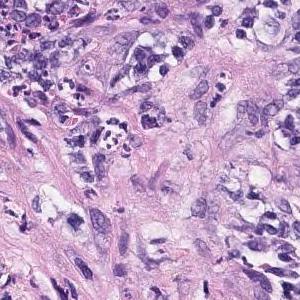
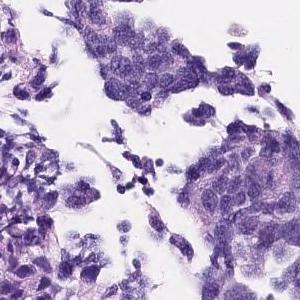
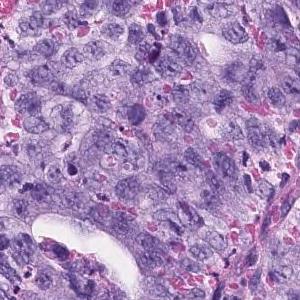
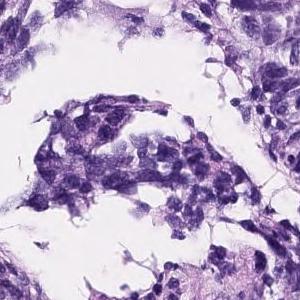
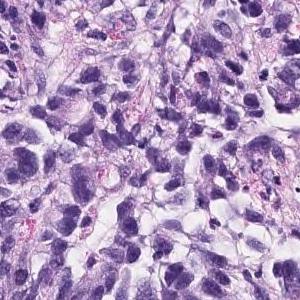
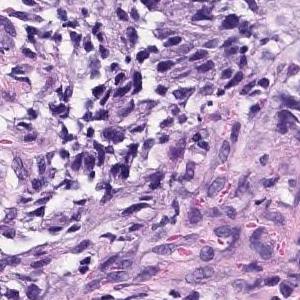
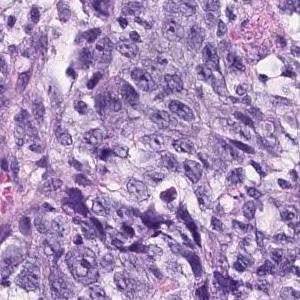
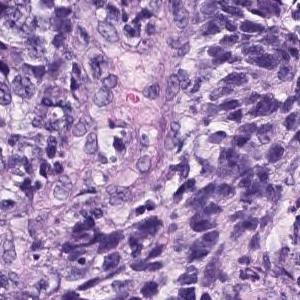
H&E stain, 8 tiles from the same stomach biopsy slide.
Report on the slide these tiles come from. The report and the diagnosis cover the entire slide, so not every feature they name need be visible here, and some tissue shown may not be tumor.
The superficial epithelium shows a large sheet-like shape, and some tumor tissue infiltrates with small irregular ducts. Poorly differentiated adenocarcinoma, solid-type
Histological subtype: Poorly differentiated adenocarcinoma, solid type. This name comes from the Japanese Classification of Gastric Carcinoma; the WHO 2019 classification calls it tubular adenocarcinoma, poorly differentiated.
